5 patches cut from one gastric biopsy slide; each 300 × 300 pixels; scanned at ×20; H&E.
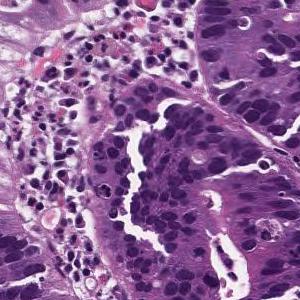
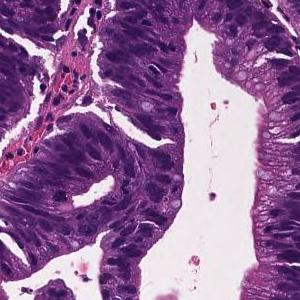
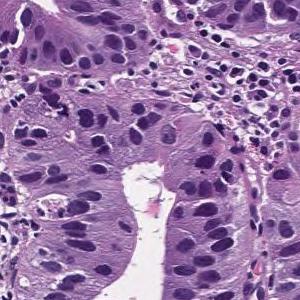
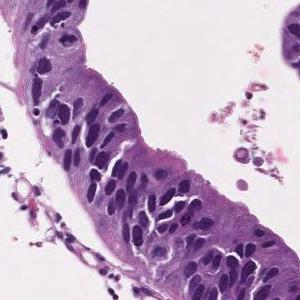
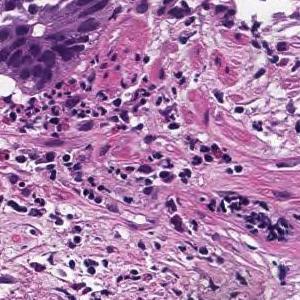
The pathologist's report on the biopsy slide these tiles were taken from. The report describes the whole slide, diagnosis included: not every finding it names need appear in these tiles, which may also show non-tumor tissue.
Tumor cells are large, highly columnar, large club-shaped nuclei, and are associated with chromatin aggregation. Papillary adenocarcinoma.
